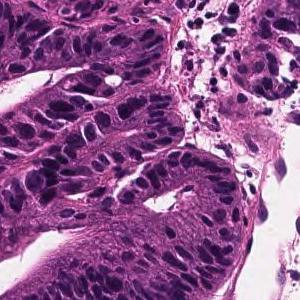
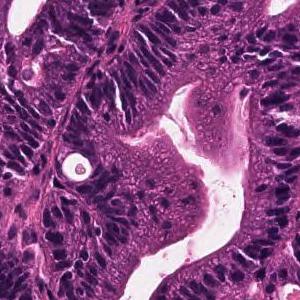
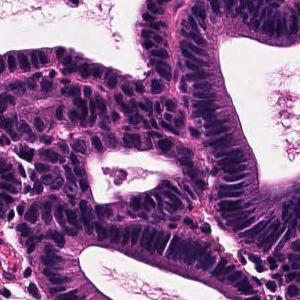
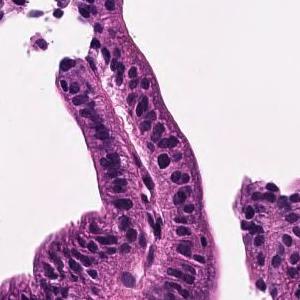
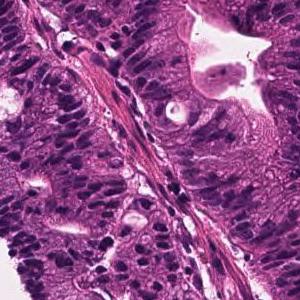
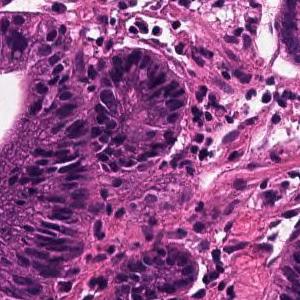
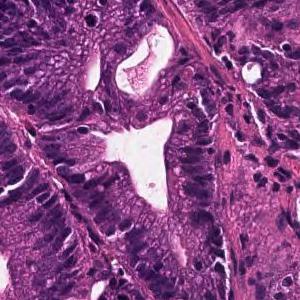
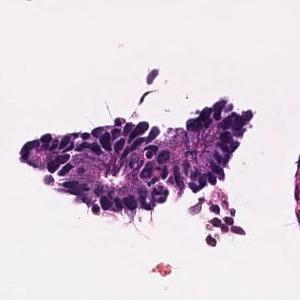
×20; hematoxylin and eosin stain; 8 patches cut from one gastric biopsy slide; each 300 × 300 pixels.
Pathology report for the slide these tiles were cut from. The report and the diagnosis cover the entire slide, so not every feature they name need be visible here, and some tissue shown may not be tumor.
Tumor tissue that remains within the superficial epithelium and is infiltrated by large papillary or irregular ducts that fuse with each other is observed. Well differentiated tubular adenocarcinoma
